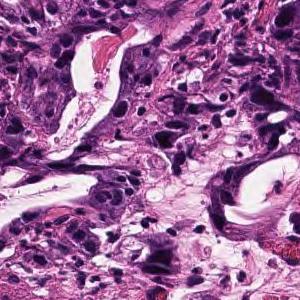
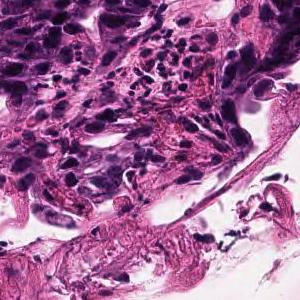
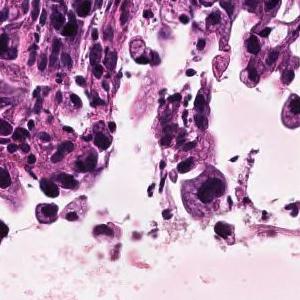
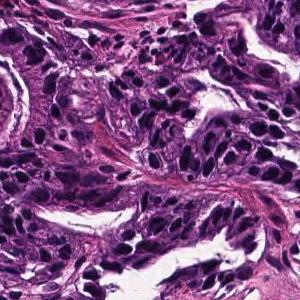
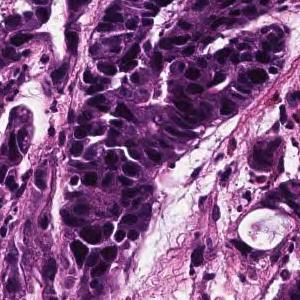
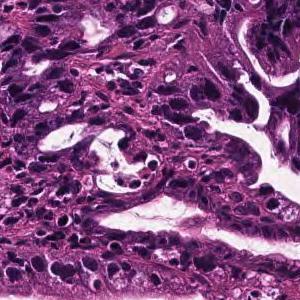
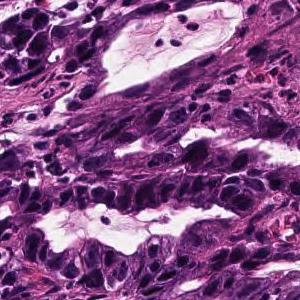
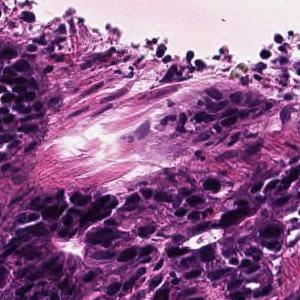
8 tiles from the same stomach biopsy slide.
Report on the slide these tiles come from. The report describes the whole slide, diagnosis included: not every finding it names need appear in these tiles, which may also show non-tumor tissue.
In the superficial epithelium, tumor tissue that invades by forming medium-sized to small, irregular ducts is observed. moderately differentiated tubular adenocarcinoma.
